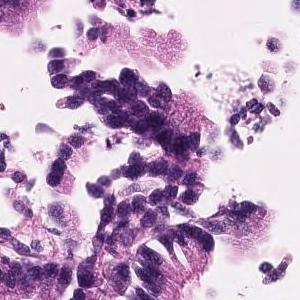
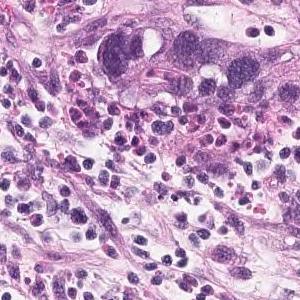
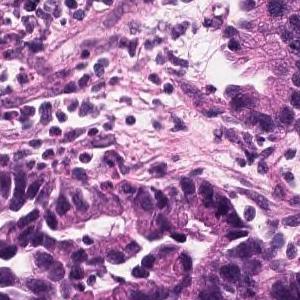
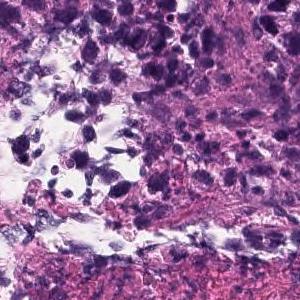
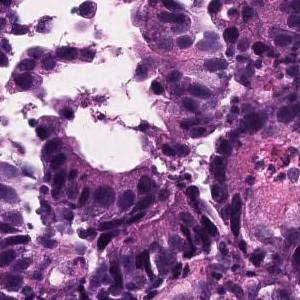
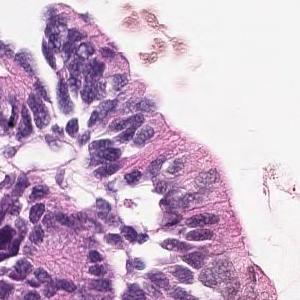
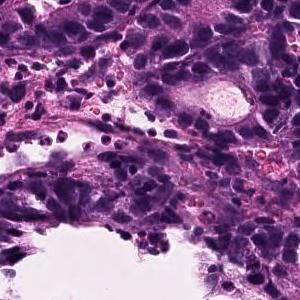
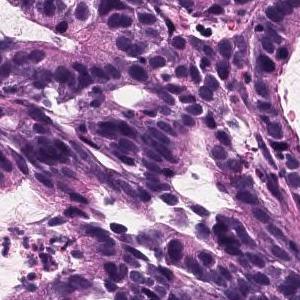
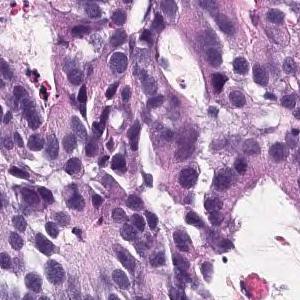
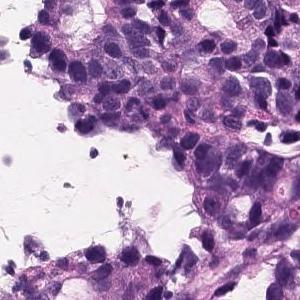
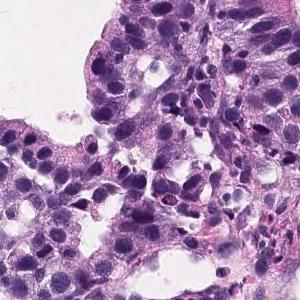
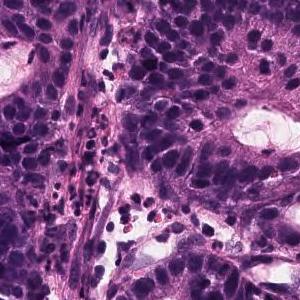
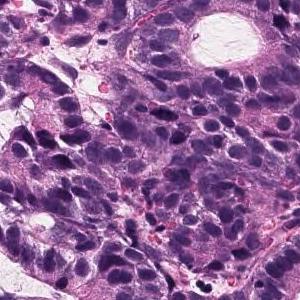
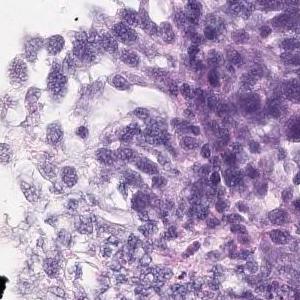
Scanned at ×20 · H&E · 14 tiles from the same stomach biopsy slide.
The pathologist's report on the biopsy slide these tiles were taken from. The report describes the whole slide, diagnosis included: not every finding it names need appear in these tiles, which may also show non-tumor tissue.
In the superficial epithelium, tumor tissue that invades by forming medium-sized to small, irregular ducts is observed. moderately differentiated tubular adenocarcinoma.
